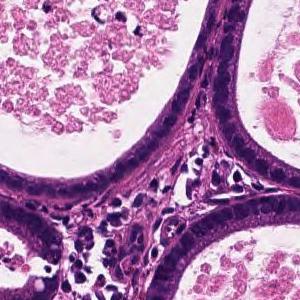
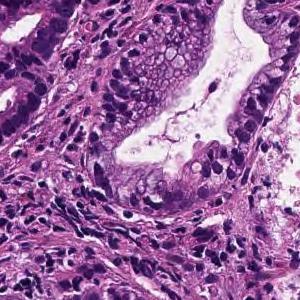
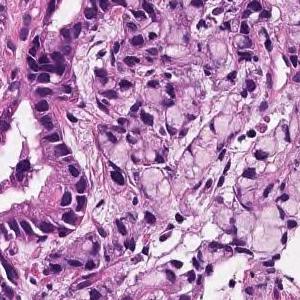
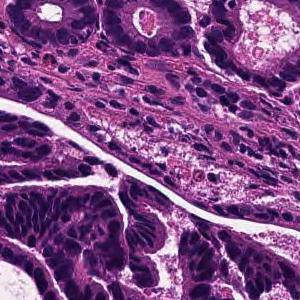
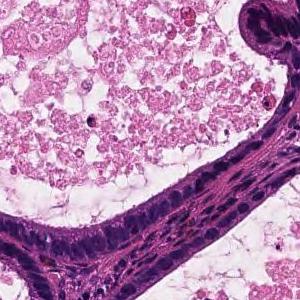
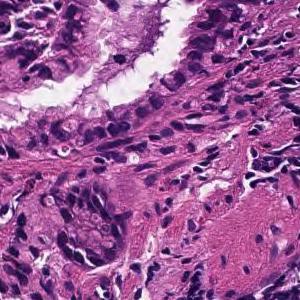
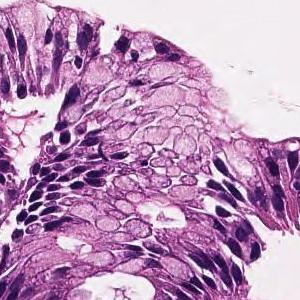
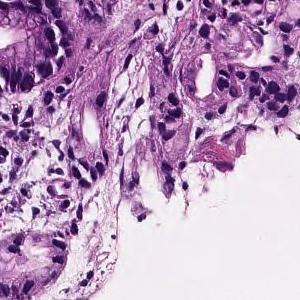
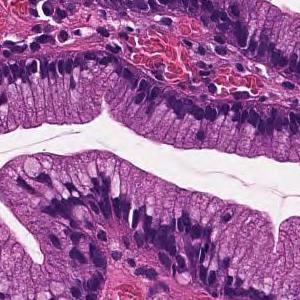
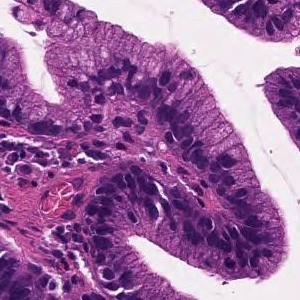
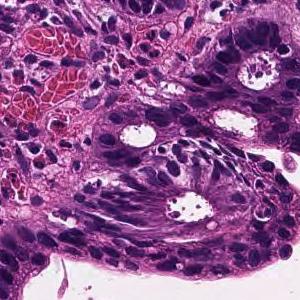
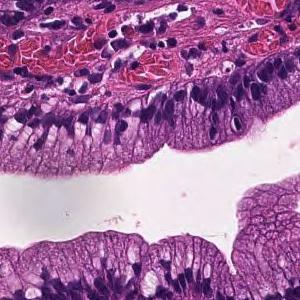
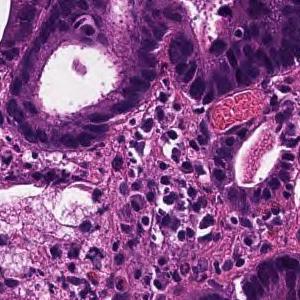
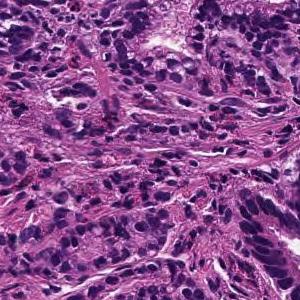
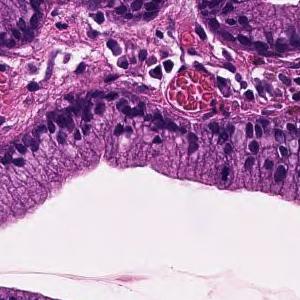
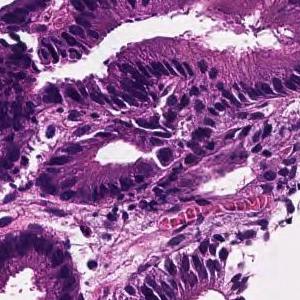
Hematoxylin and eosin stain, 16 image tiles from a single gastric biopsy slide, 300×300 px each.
Report on the slide these tiles come from. What the report and the diagnosis say applies to the whole slide; these tiles may miss some of the features named and may include tissue that is not tumor.
On the superficial epithelium, tumor tissue consisting of medium-sized and irregular glandular ducts partially fused and infiltrated is observed. Well to moderately differentiated tubular adenocarcinoma (well differentiated tubular adenocarcinoma-moderately differentiated tubular adenocarcinoma)
Tumor subtype: well to moderately differentiated tubular adenocarcinoma.
